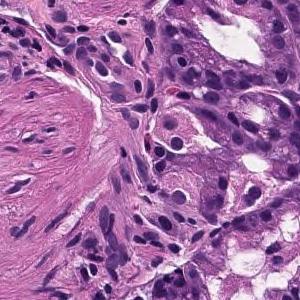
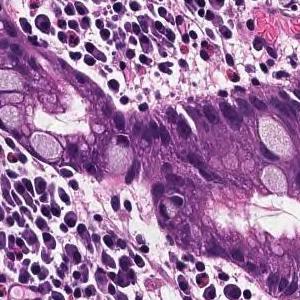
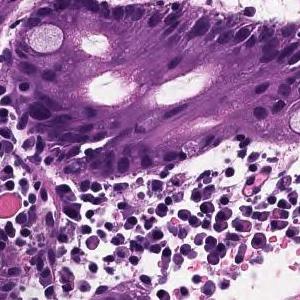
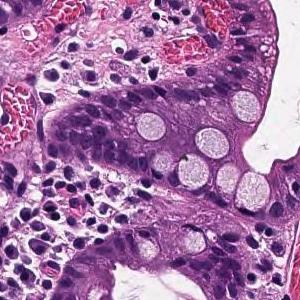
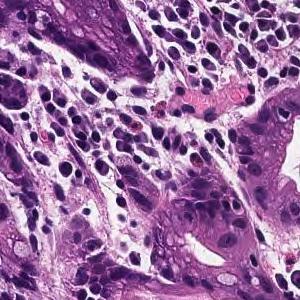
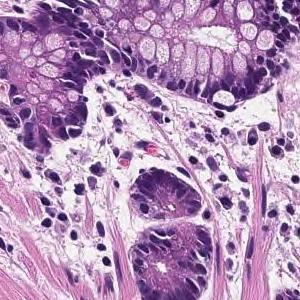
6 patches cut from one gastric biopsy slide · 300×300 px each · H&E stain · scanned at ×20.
The pathologist's report on the biopsy slide these tiles were taken from. Both the report and the diagnosis are for the whole slide: these tiles need not show every feature named, and some of the tissue shown may not be tumor.
From the superficial epithelium to the muscularis mucosae, tumor tissue consisting of medium-sized and irregular glandular ducts infiltrating is observed. Well differentiated tubular adenocarcinoma
